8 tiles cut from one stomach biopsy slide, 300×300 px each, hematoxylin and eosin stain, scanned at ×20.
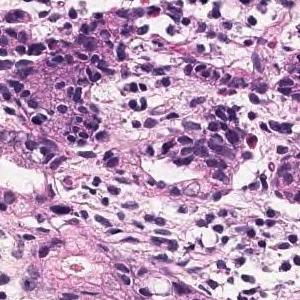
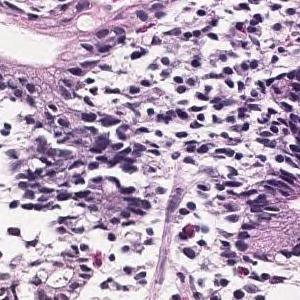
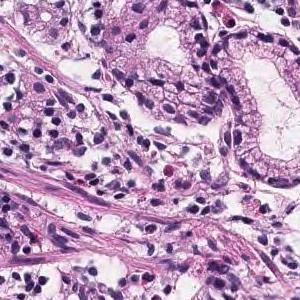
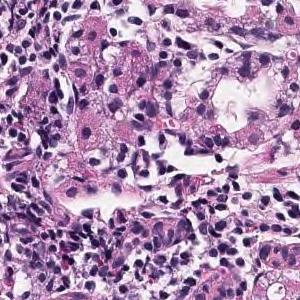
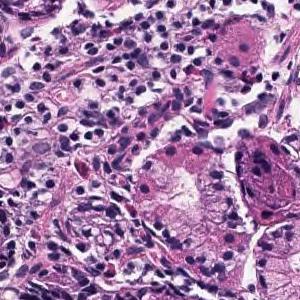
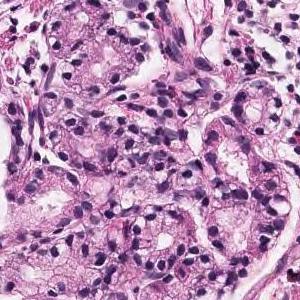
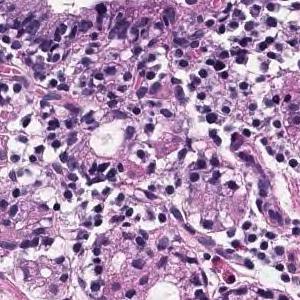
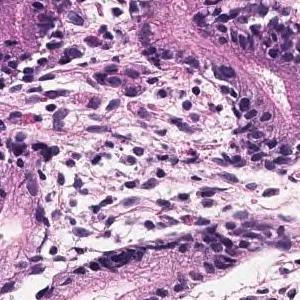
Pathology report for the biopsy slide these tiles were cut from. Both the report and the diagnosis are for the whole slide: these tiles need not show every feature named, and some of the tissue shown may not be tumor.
Tumor tissue that grows and grows is observed, showing a medium-sized round or irregular duct. moderately differentiated tubular adenocarcinoma
